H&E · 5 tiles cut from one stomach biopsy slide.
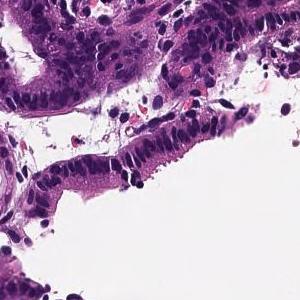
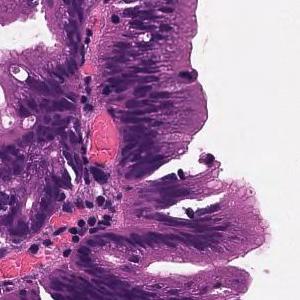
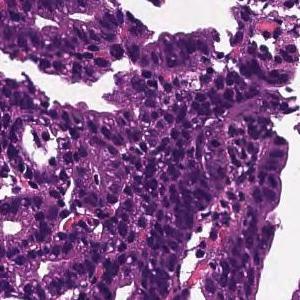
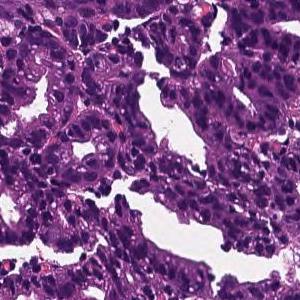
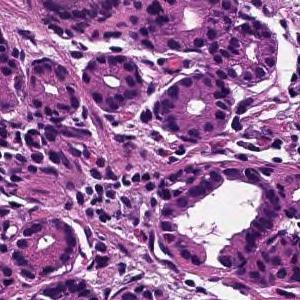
Diagnostic report for the slide these tiles come from. Both the report and the diagnosis are for the whole slide: these tiles need not show every feature named, and some of the tissue shown may not be tumor.
Cells with elliptical or atypical nuclei form dense ducts with relatively clear growth. Well differentiated tubular adenocarcinoma
